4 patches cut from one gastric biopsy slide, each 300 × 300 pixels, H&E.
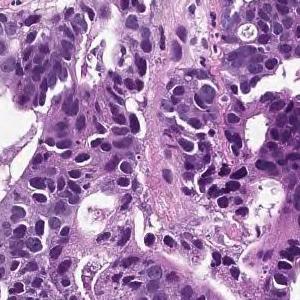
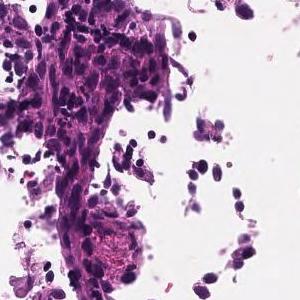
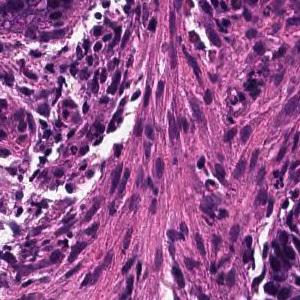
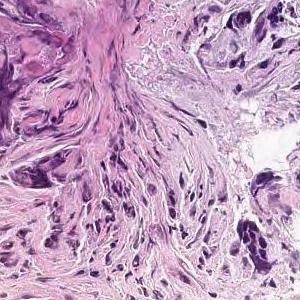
The pathologist's report on the biopsy slide these tiles were taken from. The report and the diagnosis describe the slide as a whole, so these tiles may not show every feature named and may include non-tumor tissue.
In the superficial epithelium, tumor tissue that invades by forming medium-sized to small, irregular ducts is observed. moderately differentiated tubular adenocarcinoma.
